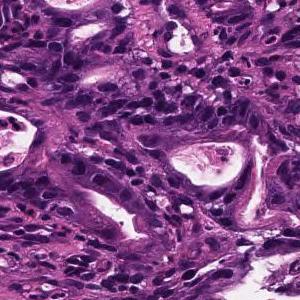
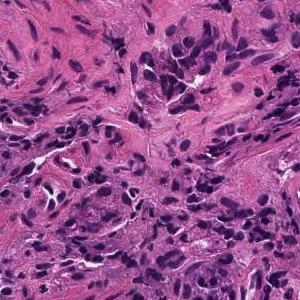
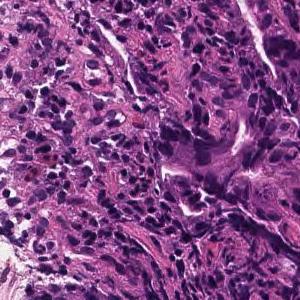
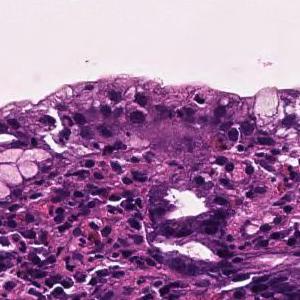
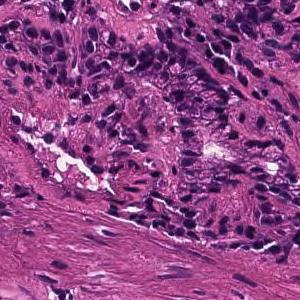
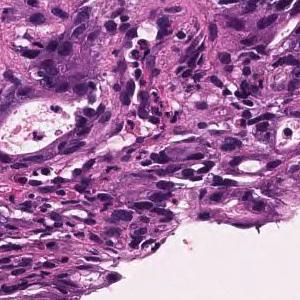
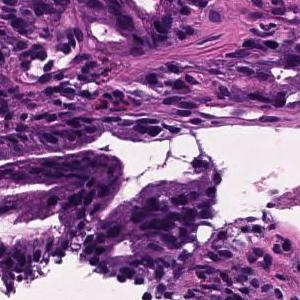
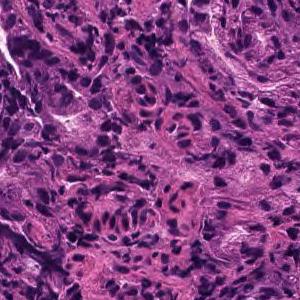
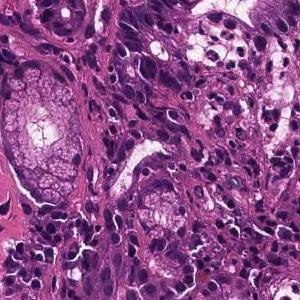
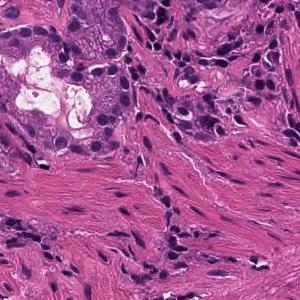
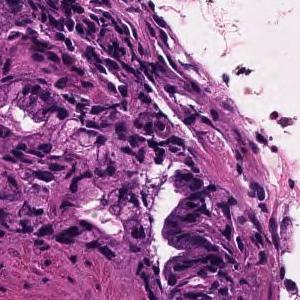
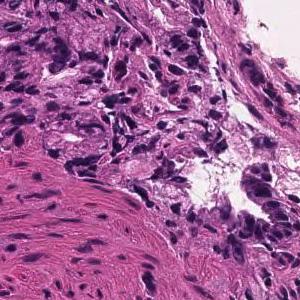
20× magnification, H&E, 12 tiles from the same stomach biopsy slide.
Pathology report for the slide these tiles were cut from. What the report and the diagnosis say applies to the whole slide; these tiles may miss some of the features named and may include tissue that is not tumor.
In the superficial epithelium, tumor tissue that invades by forming medium-sized to small, irregular ducts is observed. moderately differentiated tubular adenocarcinoma.
